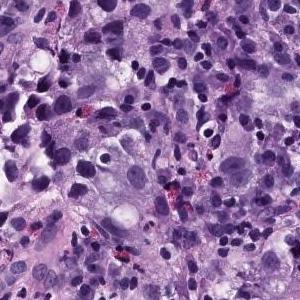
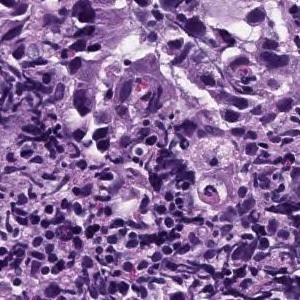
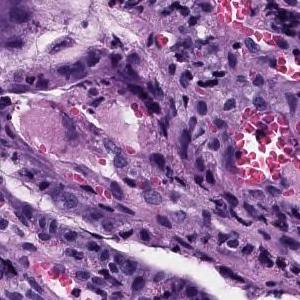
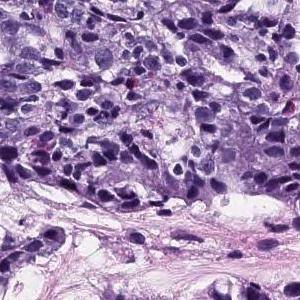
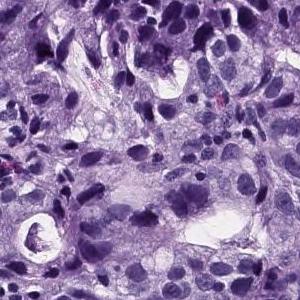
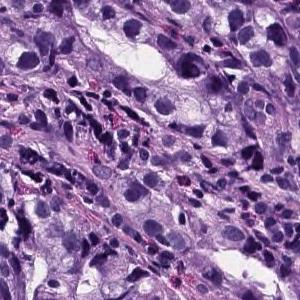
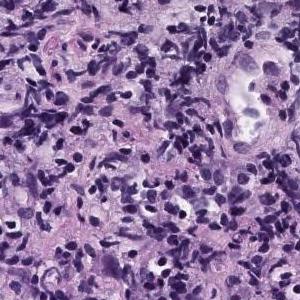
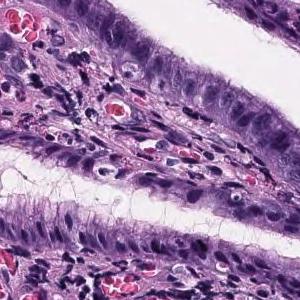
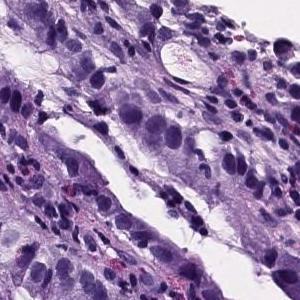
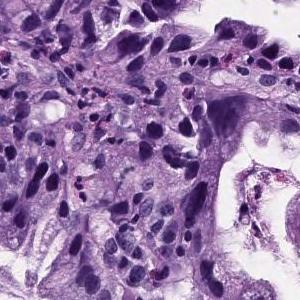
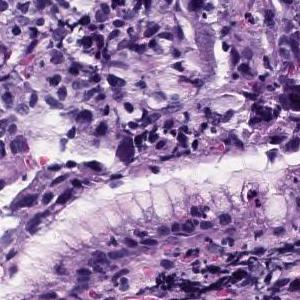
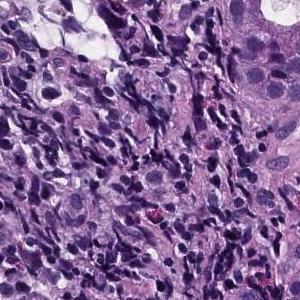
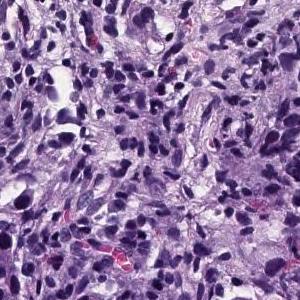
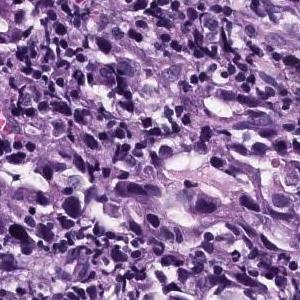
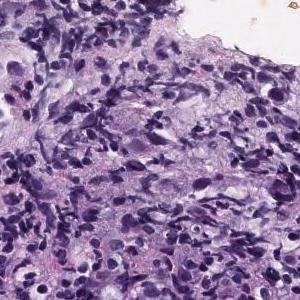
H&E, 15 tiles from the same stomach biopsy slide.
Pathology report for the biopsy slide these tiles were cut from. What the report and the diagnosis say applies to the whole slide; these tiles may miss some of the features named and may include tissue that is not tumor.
Atypical epithelial cells infiltrating and proliferating while forming solid or cord-like fused glandular cavities of different sizes is observed. moderately differentiated tubular adenocarcinoma, poorly differentiated adenocarcinoma.
Classified as moderately to poorly differentiated adenocarcinoma.
